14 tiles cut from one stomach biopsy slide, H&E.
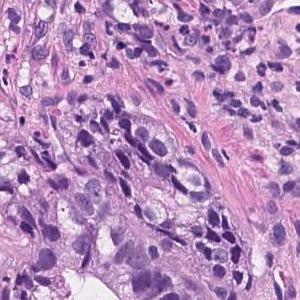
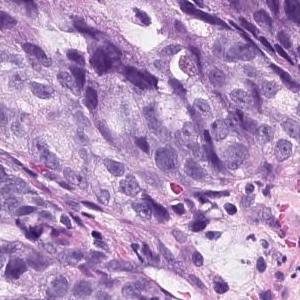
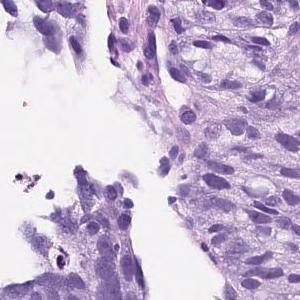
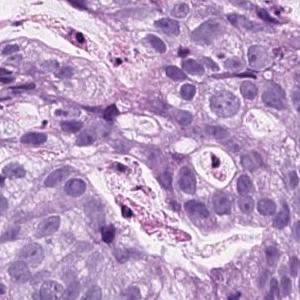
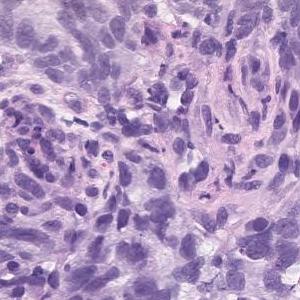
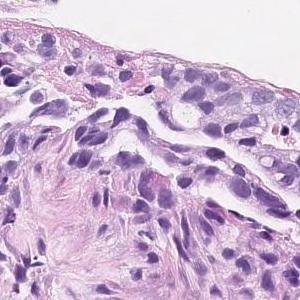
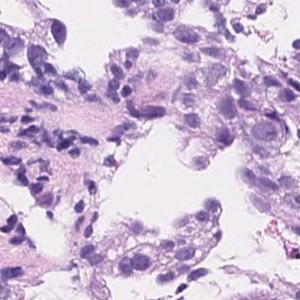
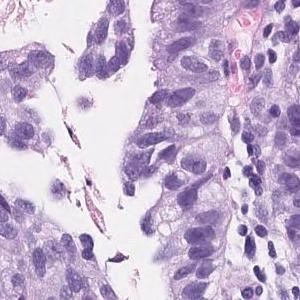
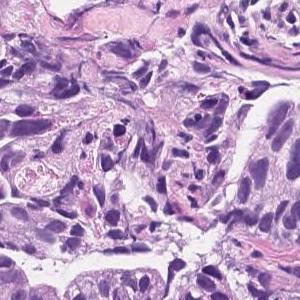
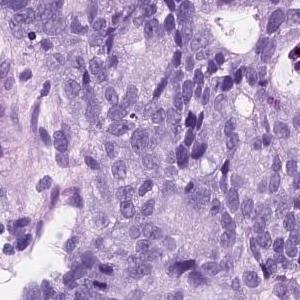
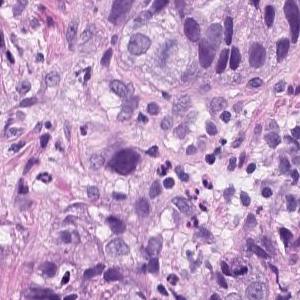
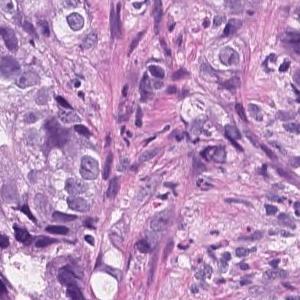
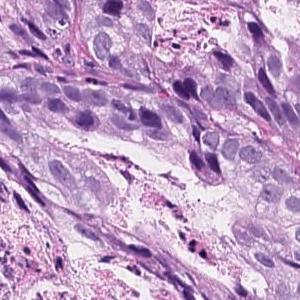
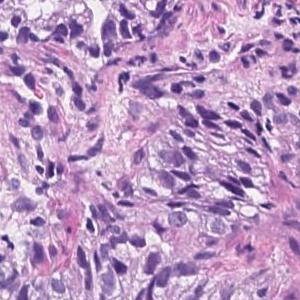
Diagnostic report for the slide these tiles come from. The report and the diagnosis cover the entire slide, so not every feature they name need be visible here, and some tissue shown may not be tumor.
On the superficial epithelium, tumor tissue consisting of an image of large, irregular glandular ducts partially fused and infiltrated is observed. Well to moderately differentiated tubular adenocarcinoma
